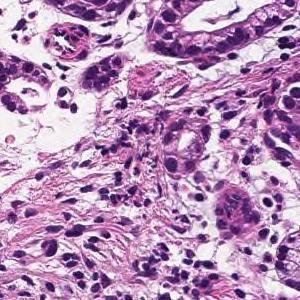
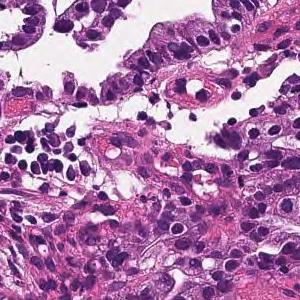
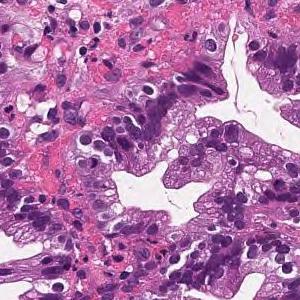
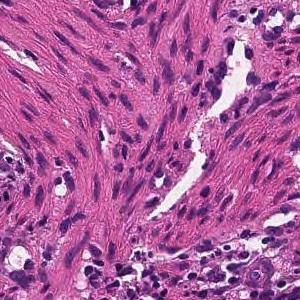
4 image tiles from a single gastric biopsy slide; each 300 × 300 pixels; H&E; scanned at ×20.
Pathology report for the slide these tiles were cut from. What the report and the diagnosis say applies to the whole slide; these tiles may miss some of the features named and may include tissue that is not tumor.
On the superficial epithelium, tumor tissue that infiltrates by forming medium-sized papillary or small irregular ducts is observed. Papillary adenocarcinoma
